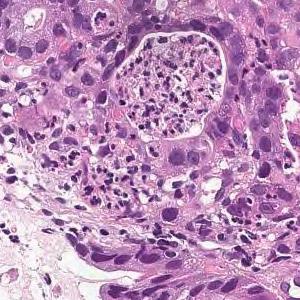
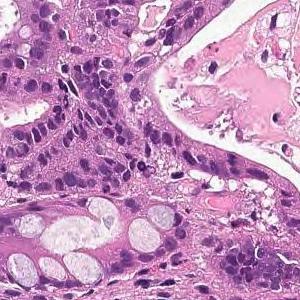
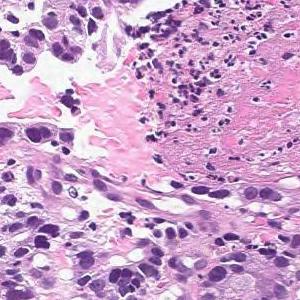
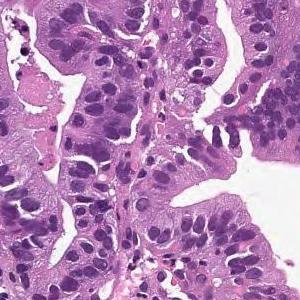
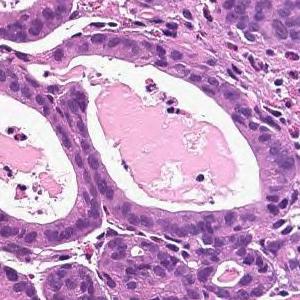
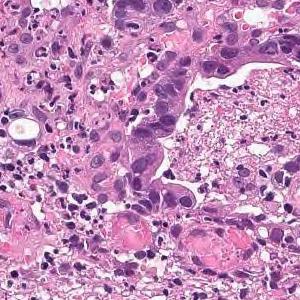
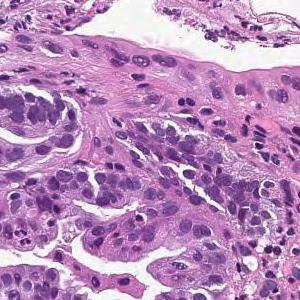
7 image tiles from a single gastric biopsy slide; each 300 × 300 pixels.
The pathologist's report on the biopsy slide these tiles were taken from. The report and the diagnosis cover the entire slide, so not every feature they name need be visible here, and some tissue shown may not be tumor.
From the superficial epithelium to the muscularis mucosae, tumor tissue consisting of medium-sized and irregular glandular ducts infiltrating is observed. Well differentiated tubular adenocarcinoma
